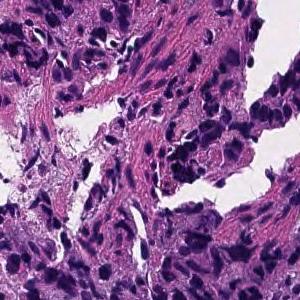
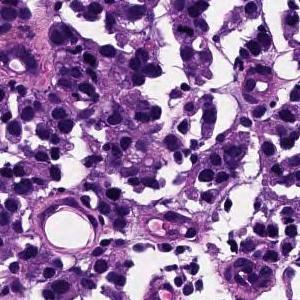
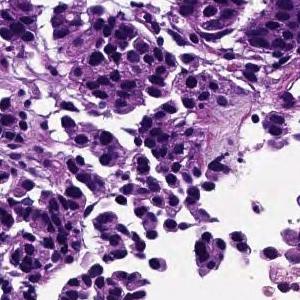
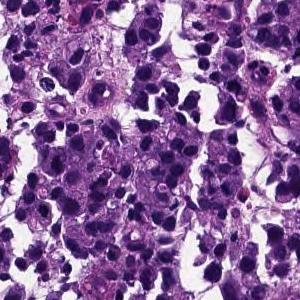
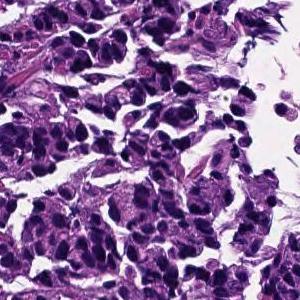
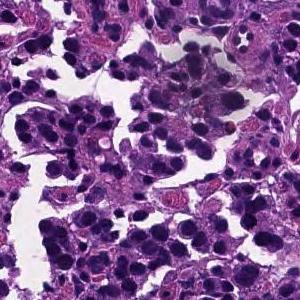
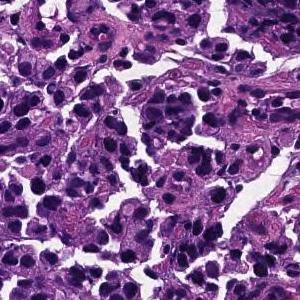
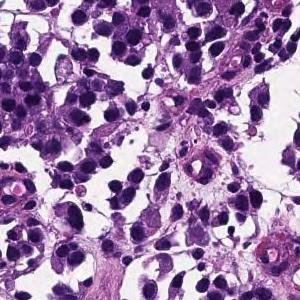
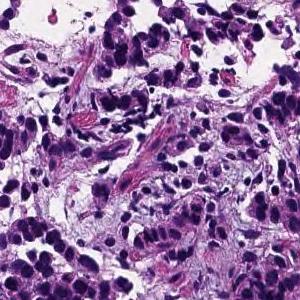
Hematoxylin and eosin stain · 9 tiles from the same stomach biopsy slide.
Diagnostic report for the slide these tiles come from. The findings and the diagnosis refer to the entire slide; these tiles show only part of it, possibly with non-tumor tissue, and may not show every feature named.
The superficial epithelium shows a large alveolar shape and infiltrates tumor tissue. Poorly differentiated adenocarcinoma, solid-type
Subtype: Poorly differentiated adenocarcinoma, solid type. This name comes from the Japanese Classification of Gastric Carcinoma; the WHO 2019 classification calls it tubular adenocarcinoma, poorly differentiated.
